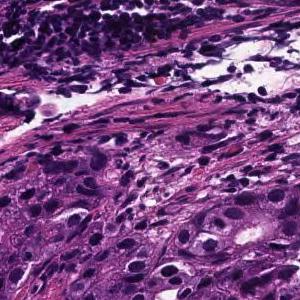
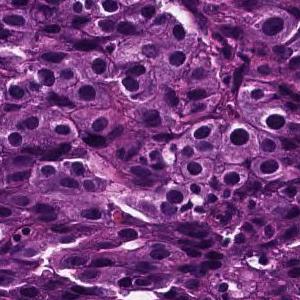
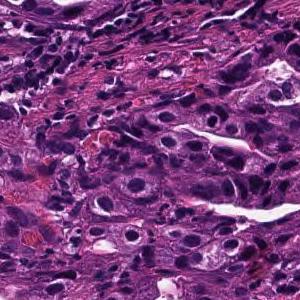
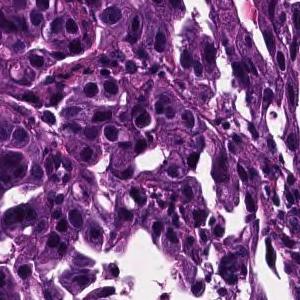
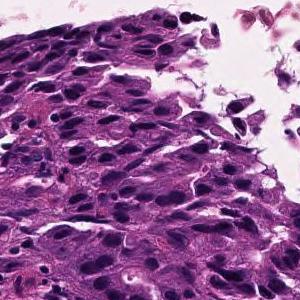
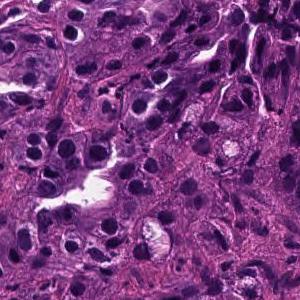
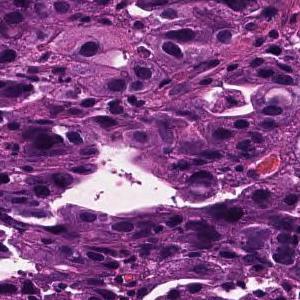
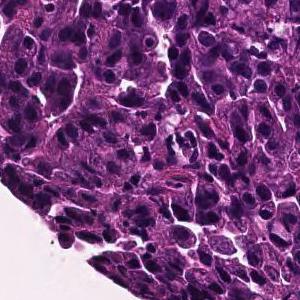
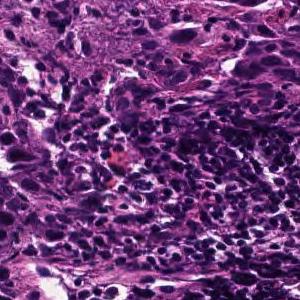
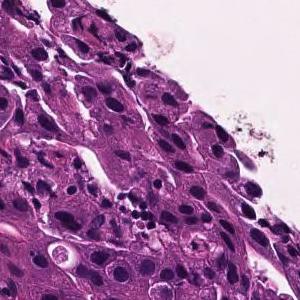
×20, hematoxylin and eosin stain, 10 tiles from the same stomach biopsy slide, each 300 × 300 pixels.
Report on the slide these tiles come from. Both the report and the diagnosis are for the whole slide: these tiles need not show every feature named, and some of the tissue shown may not be tumor.
Tumor tissue consisting of medium-sized, cord-like or irregular glandular fusion and infiltration is observed in the superficial epithelium. Poorly differentiated adenocarcinoma, non-solid type or moderately differentiated tubular adenocarcinoma
Tumor subtype: moderately to poorly differentiated adenocarcinoma.
The non-solid type named here is a Japanese Classification of Gastric Carcinoma category.
